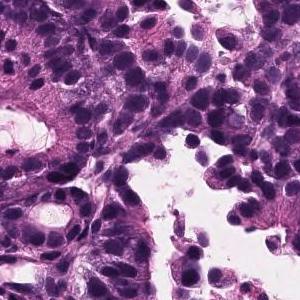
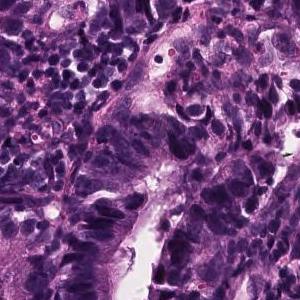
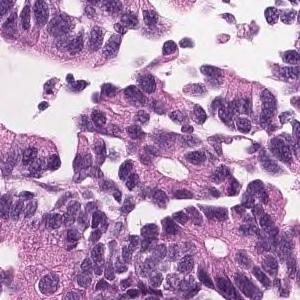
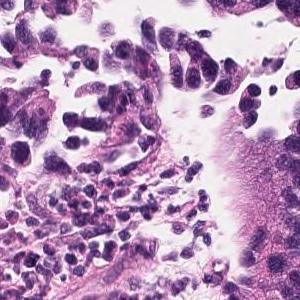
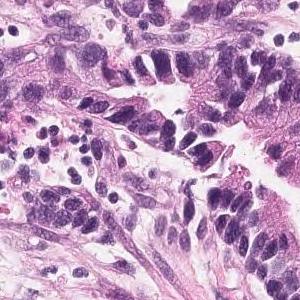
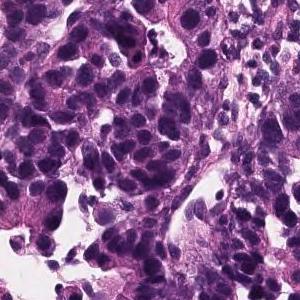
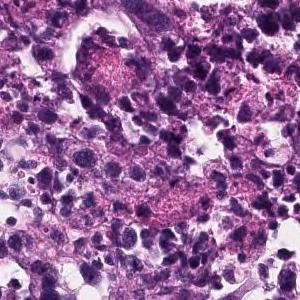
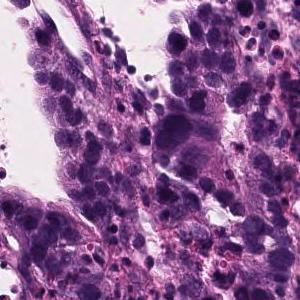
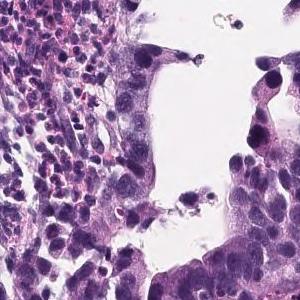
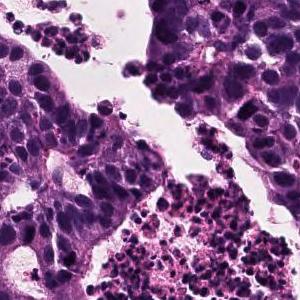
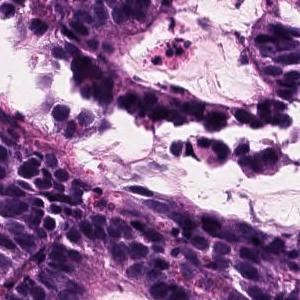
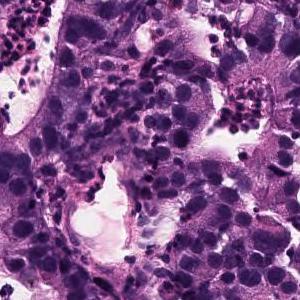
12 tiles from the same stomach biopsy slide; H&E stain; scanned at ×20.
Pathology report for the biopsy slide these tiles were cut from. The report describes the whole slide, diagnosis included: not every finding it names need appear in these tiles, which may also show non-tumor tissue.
In the superficial epithelium, tumor tissue that invades by forming medium-sized to small, irregular ducts is observed. moderately differentiated tubular adenocarcinoma.
